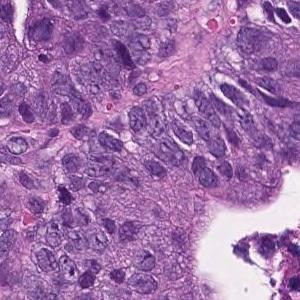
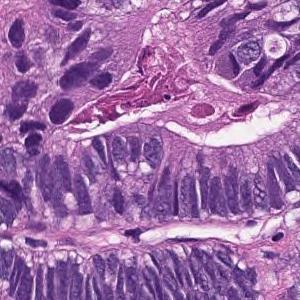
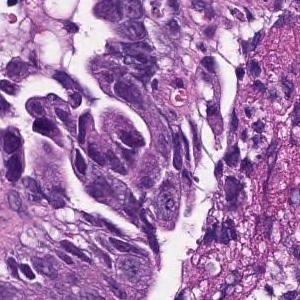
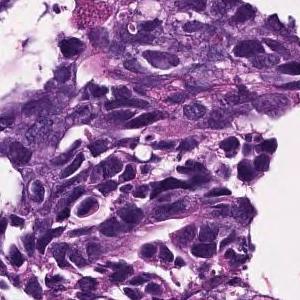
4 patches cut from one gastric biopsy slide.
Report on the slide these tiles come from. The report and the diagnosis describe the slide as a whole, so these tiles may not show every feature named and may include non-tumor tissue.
In the superficial epithelium, tumor tissue that invades by forming medium-sized to small, irregular ducts is observed. moderately differentiated tubular adenocarcinoma.
